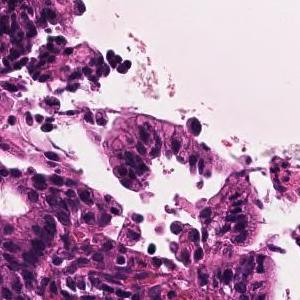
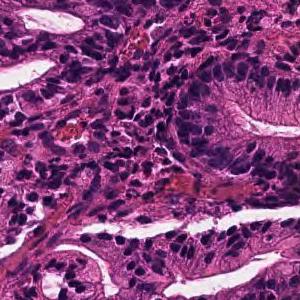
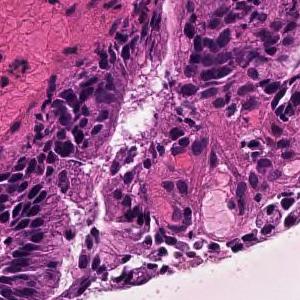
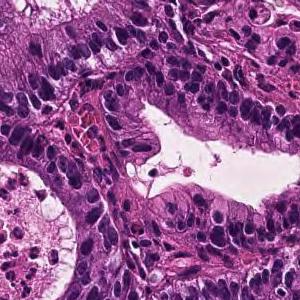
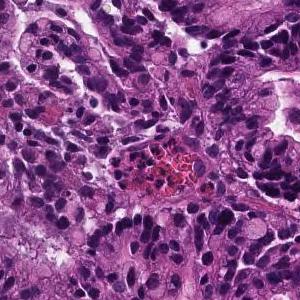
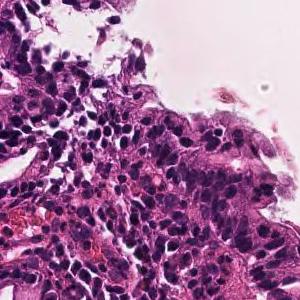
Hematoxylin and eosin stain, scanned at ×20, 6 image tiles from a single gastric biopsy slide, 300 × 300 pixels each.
Pathology report for the slide these tiles were cut from. The findings and the diagnosis refer to the entire slide; these tiles show only part of it, possibly with non-tumor tissue, and may not show every feature named.
In the superficial epithelium, tumor tissue that invades by forming medium-sized to small, irregular ducts is observed. moderately differentiated tubular adenocarcinoma.
